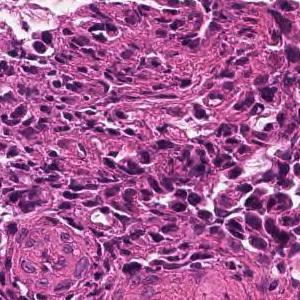
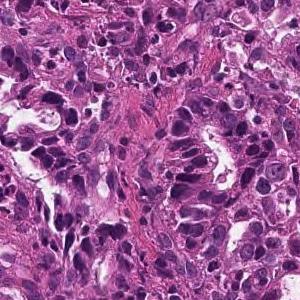
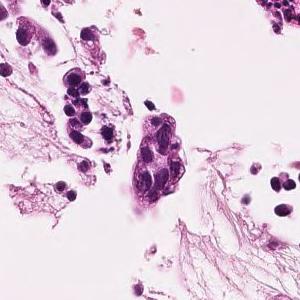
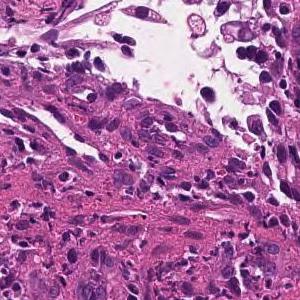
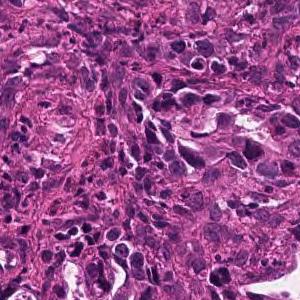
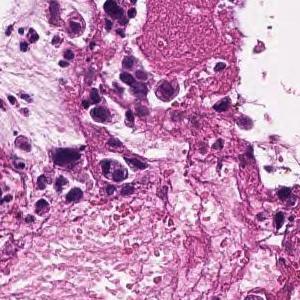
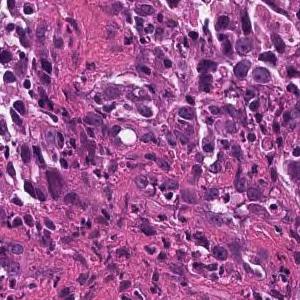
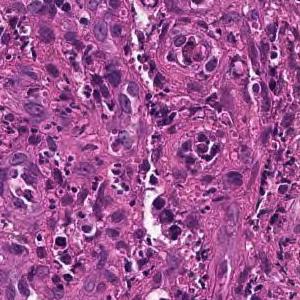
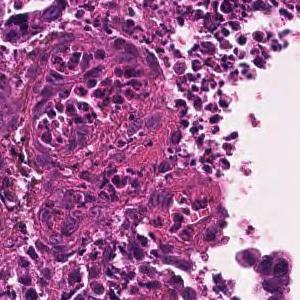
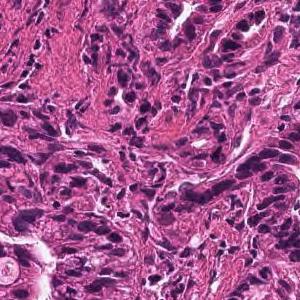
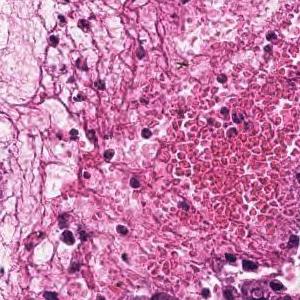
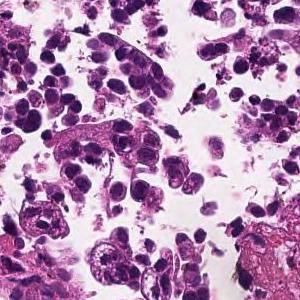
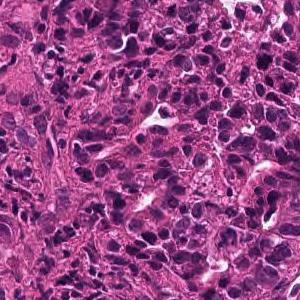
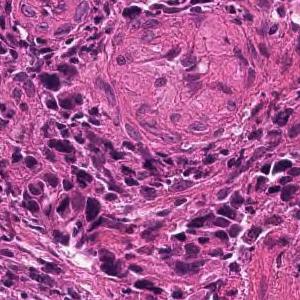
14 tiles cut from one stomach biopsy slide, 20× magnification.
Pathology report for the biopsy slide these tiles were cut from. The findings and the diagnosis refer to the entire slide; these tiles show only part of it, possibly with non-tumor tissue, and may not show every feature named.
In the superficial epithelium, tumor tissue that invades by forming medium-sized to small, irregular ducts is observed. moderately differentiated tubular adenocarcinoma.
